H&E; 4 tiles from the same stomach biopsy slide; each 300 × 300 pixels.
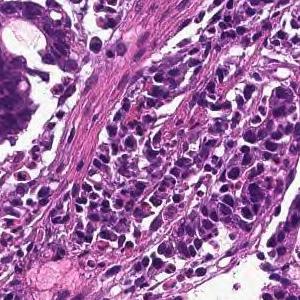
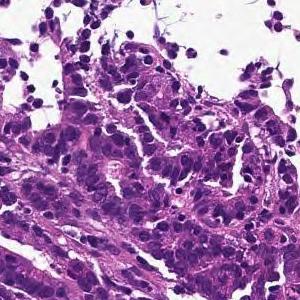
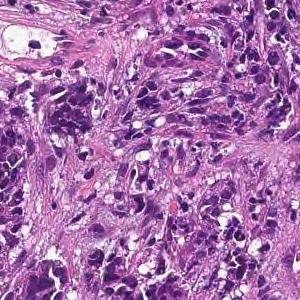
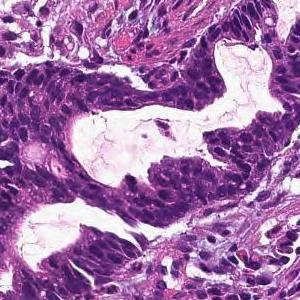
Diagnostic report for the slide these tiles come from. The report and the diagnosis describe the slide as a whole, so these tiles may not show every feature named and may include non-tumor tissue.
In the superficial epithelium, tumor tissue that invades by forming medium-sized to small, irregular ducts is observed. moderately differentiated tubular adenocarcinoma.
